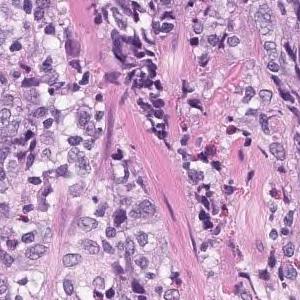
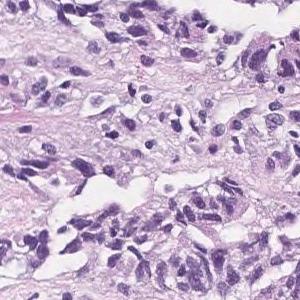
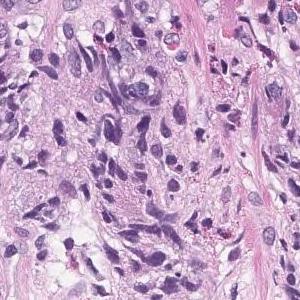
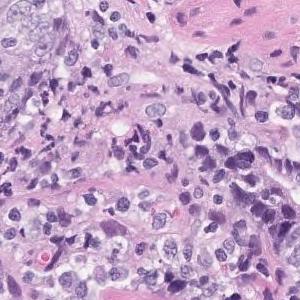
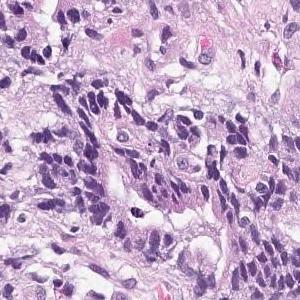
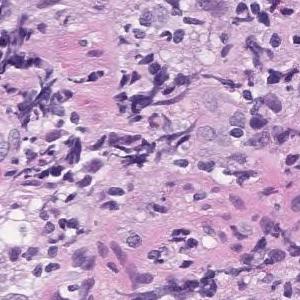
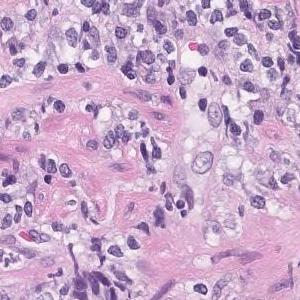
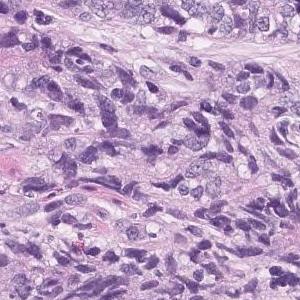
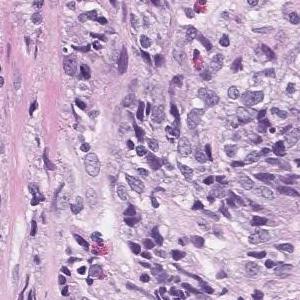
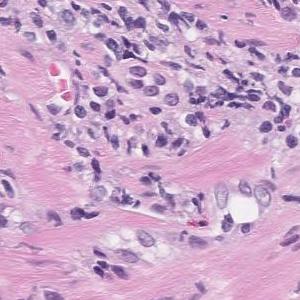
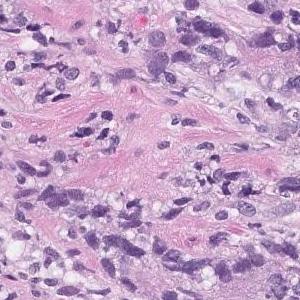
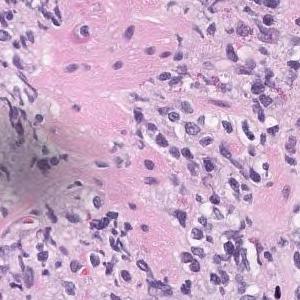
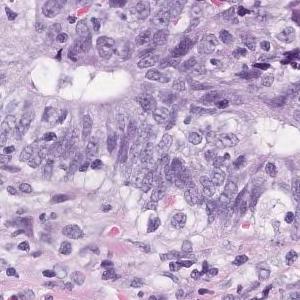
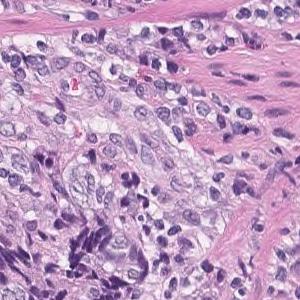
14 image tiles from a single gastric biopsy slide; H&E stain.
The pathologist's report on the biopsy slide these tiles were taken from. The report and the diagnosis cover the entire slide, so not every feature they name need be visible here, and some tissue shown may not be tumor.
Highly columnar epithelium with disordered nuclear localization proliferates showing fusion ductal construction. moderately differentiated tubular adenocarcinoma
